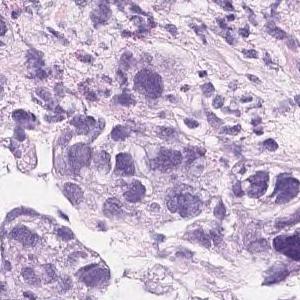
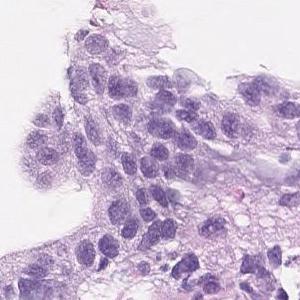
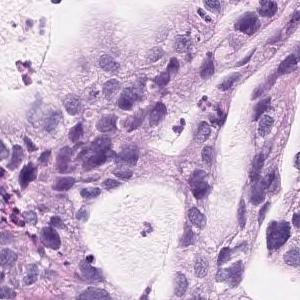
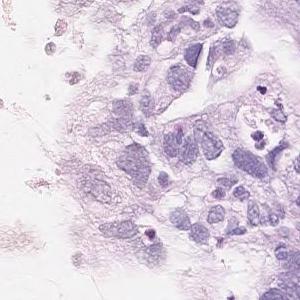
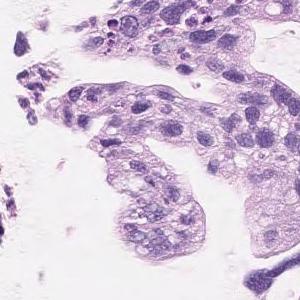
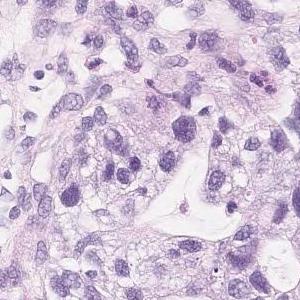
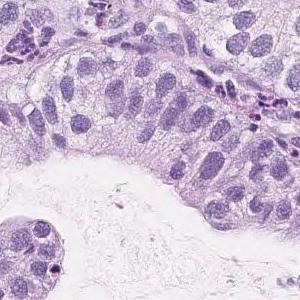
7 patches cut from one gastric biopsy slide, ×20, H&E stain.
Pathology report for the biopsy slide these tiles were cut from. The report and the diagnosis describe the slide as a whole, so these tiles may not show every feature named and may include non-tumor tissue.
On the superficial epithelium, tumor tissue consisting of large, irregular glandular ducts partially fused and infiltrated is observed. Well to moderately differentiated tubular adenocarcinoma (well differentiated tubular adenocarcinoma, moderately differentiated tubular adenocarcinoma)
Classified as well to moderately differentiated tubular adenocarcinoma.
